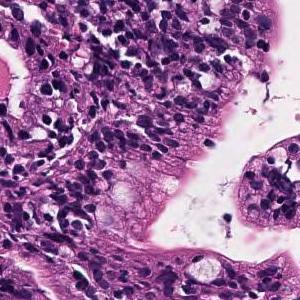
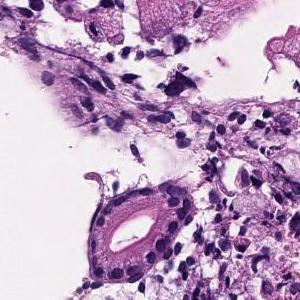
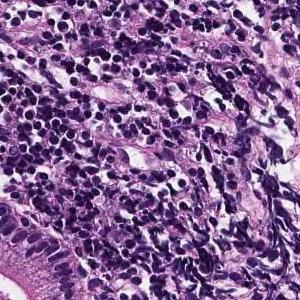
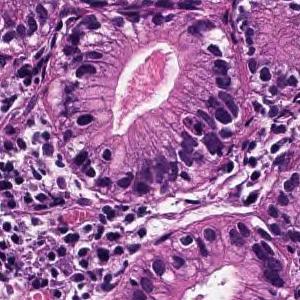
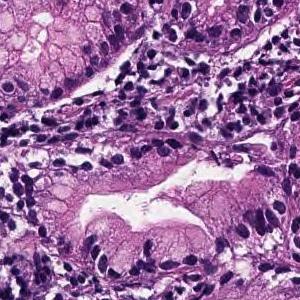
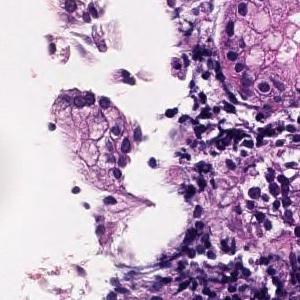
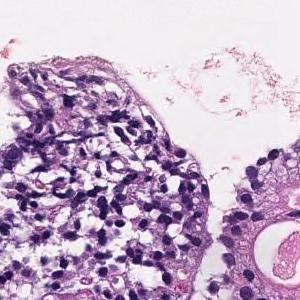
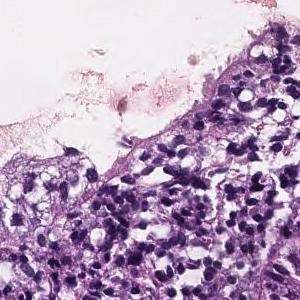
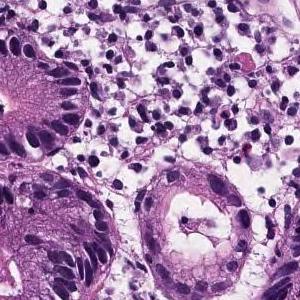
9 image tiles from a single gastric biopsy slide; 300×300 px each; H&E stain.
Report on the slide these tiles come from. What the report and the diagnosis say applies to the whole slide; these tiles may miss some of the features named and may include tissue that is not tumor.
From the superficial epithelium to the muscularis mucosae, tumor tissue consisting of medium-sized and irregular glandular ducts infiltrating is observed. Well differentiated tubular adenocarcinoma
